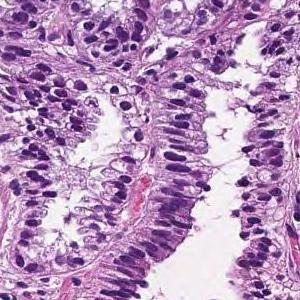
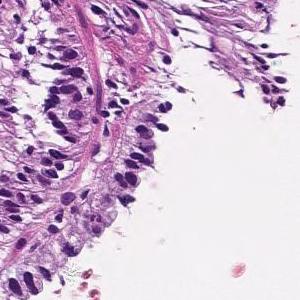
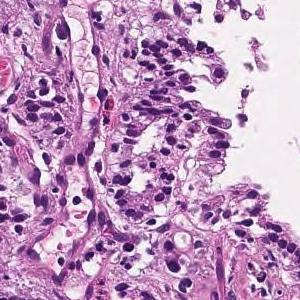
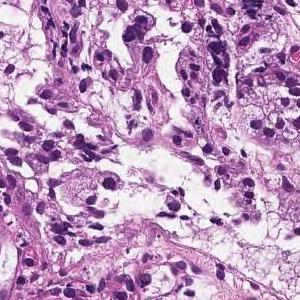
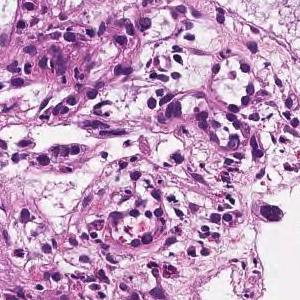
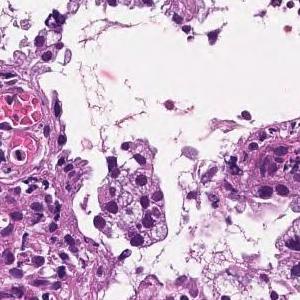
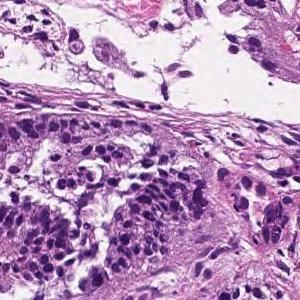
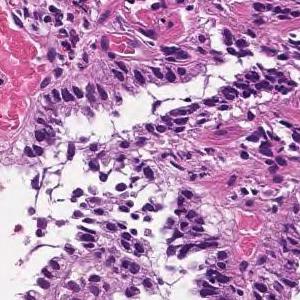
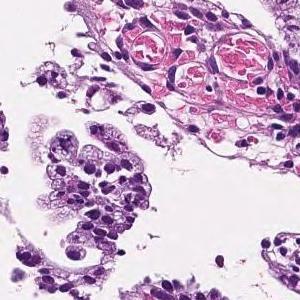
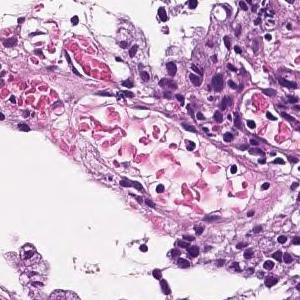
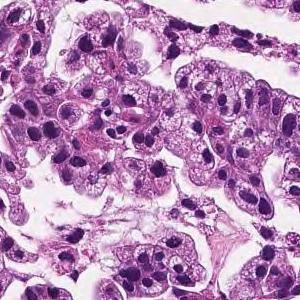
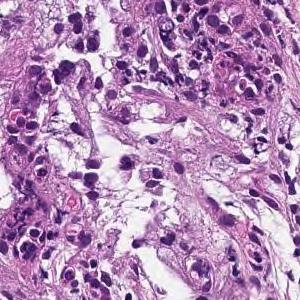
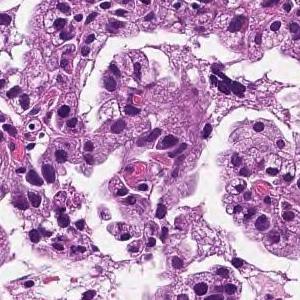
Hematoxylin and eosin stain; 13 patches cut from one gastric biopsy slide; 300×300 px each.
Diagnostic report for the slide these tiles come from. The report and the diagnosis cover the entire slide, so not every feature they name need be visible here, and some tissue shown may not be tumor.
On the superficial epithelium, tumor tissue that infiltrates by forming medium-sized papillary or small irregular ducts is observed. Papillary adenocarcinoma
